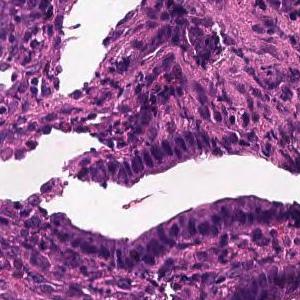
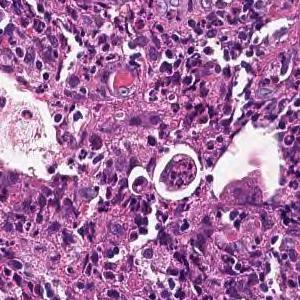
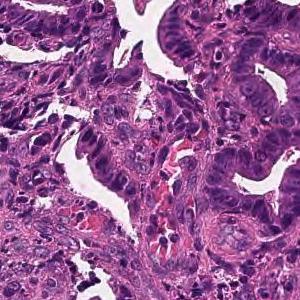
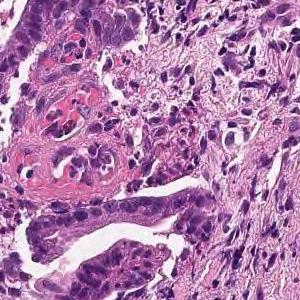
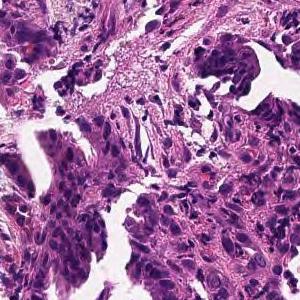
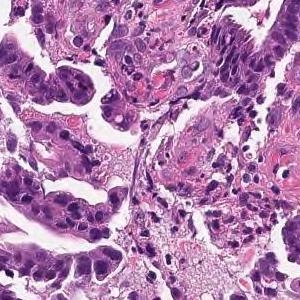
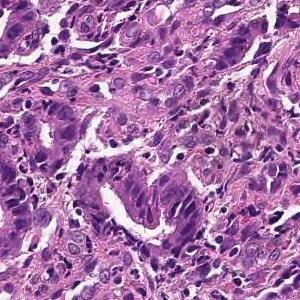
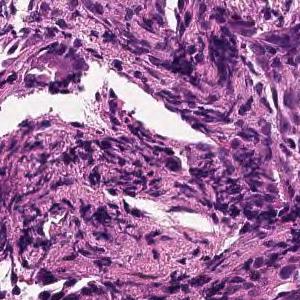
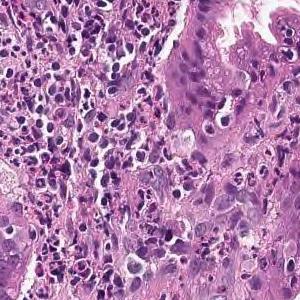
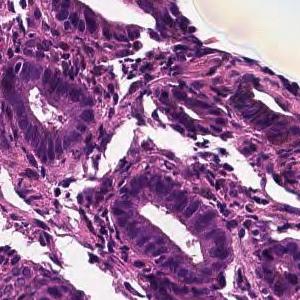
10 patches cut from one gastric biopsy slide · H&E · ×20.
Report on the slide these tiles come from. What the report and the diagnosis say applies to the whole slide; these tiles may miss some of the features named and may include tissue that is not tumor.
From the superficial epithelium to the muscularis mucosae, tumor tissue consisting of medium-sized and irregular glandular ducts infiltrating is observed. Well differentiated tubular adenocarcinoma
